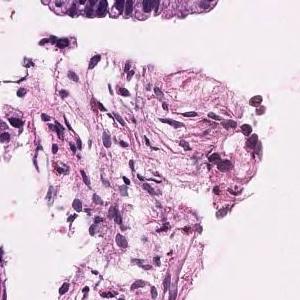
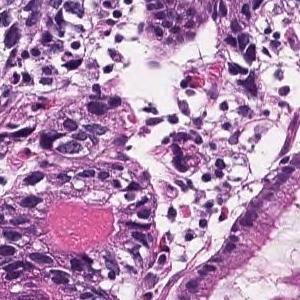
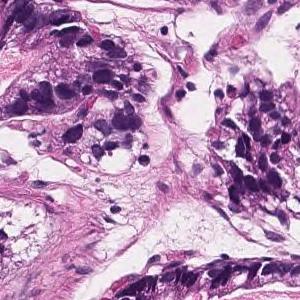
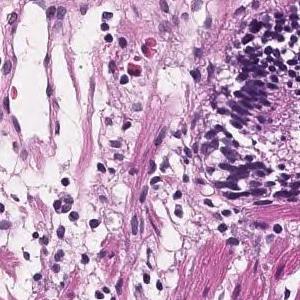
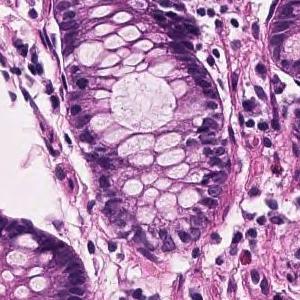
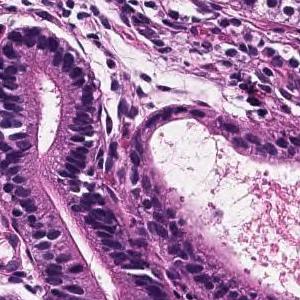
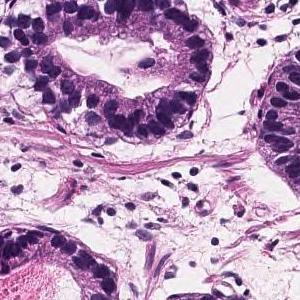
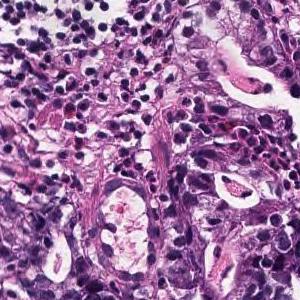
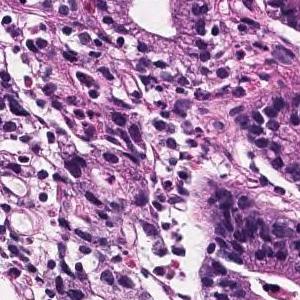
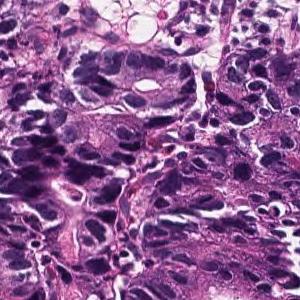
H&E stain · scanned at ×20 · 10 tiles cut from one stomach biopsy slide · each 300 × 300 pixels.
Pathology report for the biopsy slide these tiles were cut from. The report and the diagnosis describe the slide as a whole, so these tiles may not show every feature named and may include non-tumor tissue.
Tumor tissue consisting of medium-sized and irregular ducts is observed infiltrating in the superficial epithelium. Tumor cells are highly columnar, with nuclei aligned basolaterally and polarized. Well differentiated tubular adenocarcinoma.
